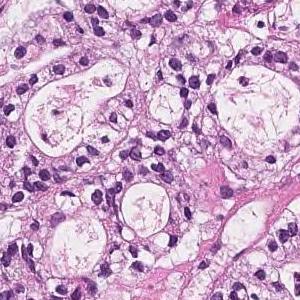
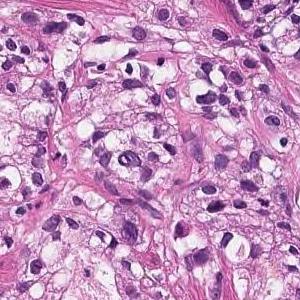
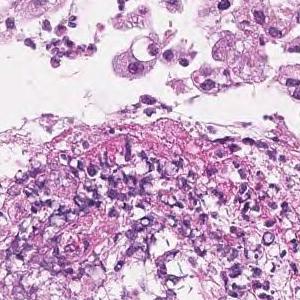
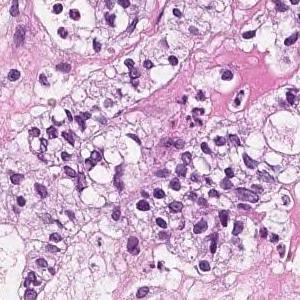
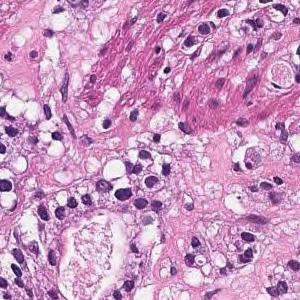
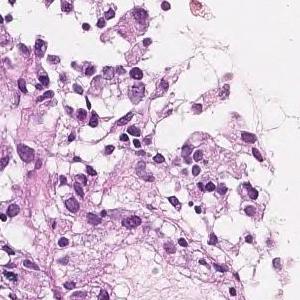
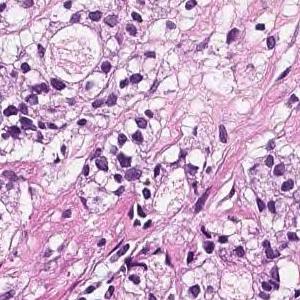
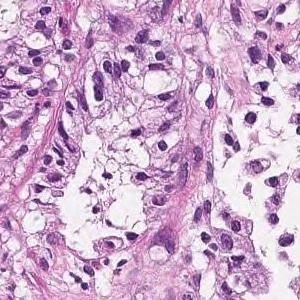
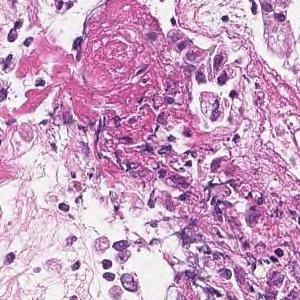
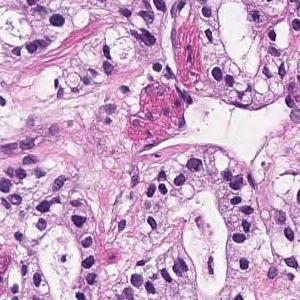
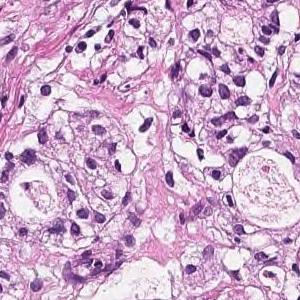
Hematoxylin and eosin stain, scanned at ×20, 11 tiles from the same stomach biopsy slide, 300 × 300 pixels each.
Report on the slide these tiles come from. Both the report and the diagnosis are for the whole slide: these tiles need not show every feature named, and some of the tissue shown may not be tumor.
In the superficial epithelium, tumor tissue that invades by forming medium-sized to small, irregular ducts is observed. moderately differentiated tubular adenocarcinoma.
